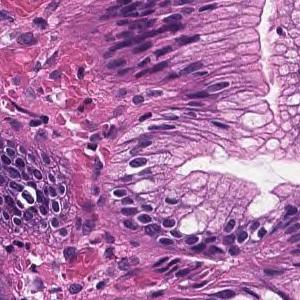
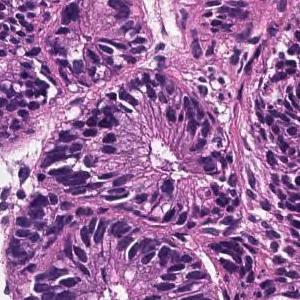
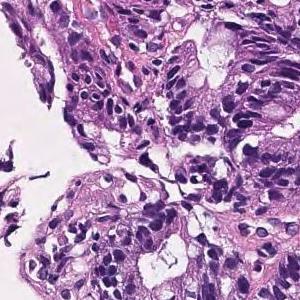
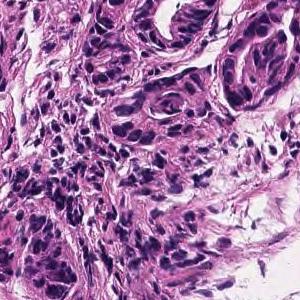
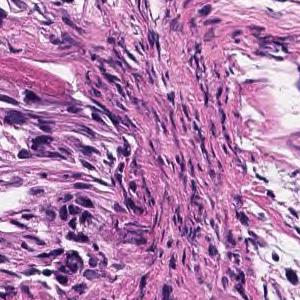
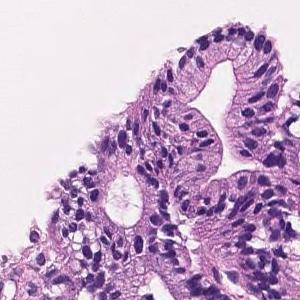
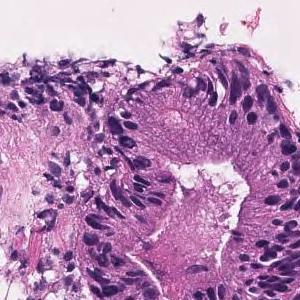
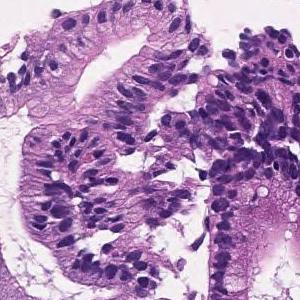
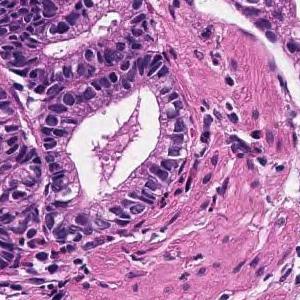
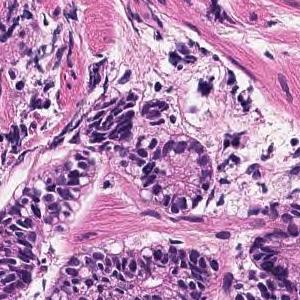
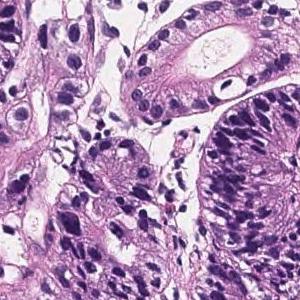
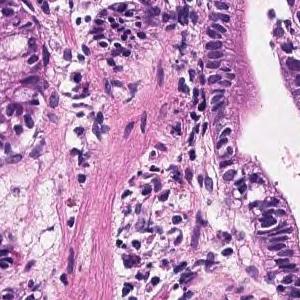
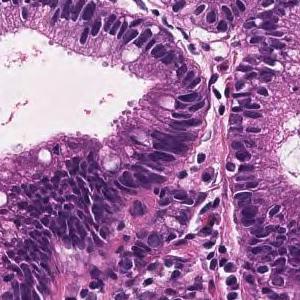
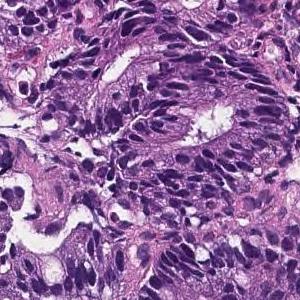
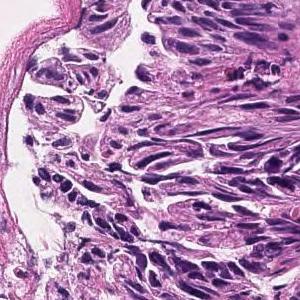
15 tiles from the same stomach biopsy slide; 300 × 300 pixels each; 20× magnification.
Diagnostic report for the slide these tiles come from. The report and the diagnosis describe the slide as a whole, so these tiles may not show every feature named and may include non-tumor tissue.
Most remain in the superficial epithelium, forming medium-sized papillary or small irregular ducts and proliferating, and some tumor tissue invades the muscularis mucosae. Papillary adenocarcinoma
